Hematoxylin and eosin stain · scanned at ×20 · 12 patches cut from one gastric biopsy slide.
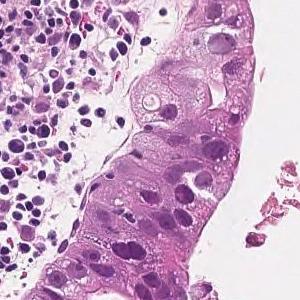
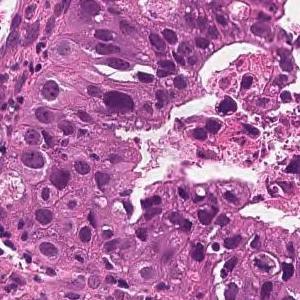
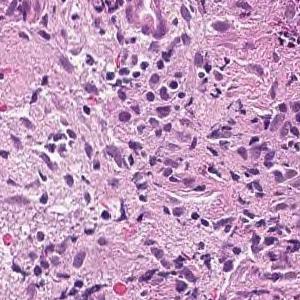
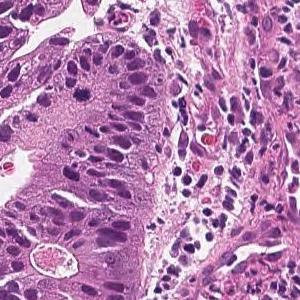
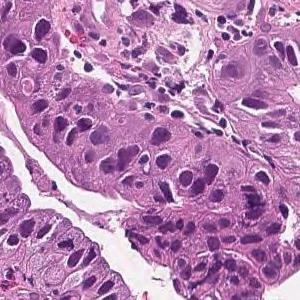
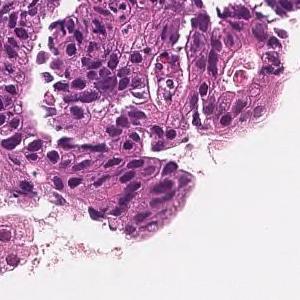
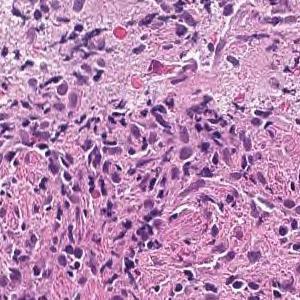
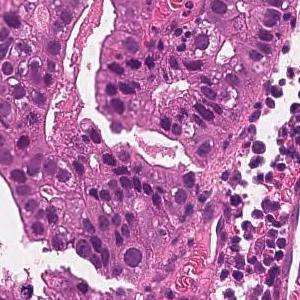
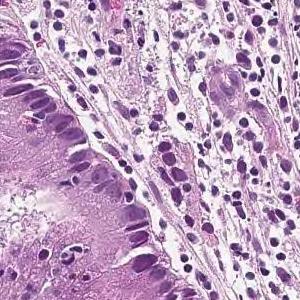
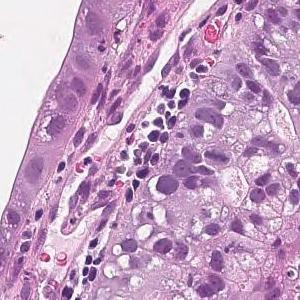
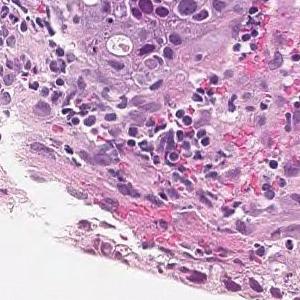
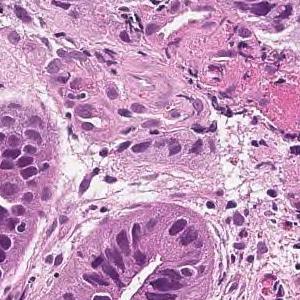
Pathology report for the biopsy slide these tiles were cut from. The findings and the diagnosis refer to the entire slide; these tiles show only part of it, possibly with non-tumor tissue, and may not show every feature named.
In the superficial epithelium, tumor tissue that invades by forming medium-sized to small, irregular ducts is observed. moderately differentiated tubular adenocarcinoma.
